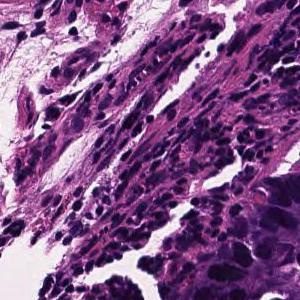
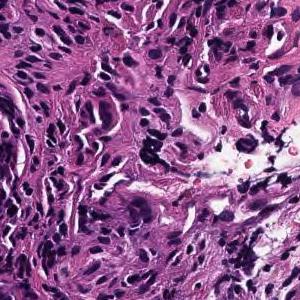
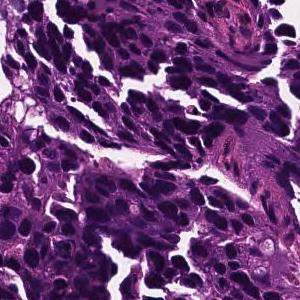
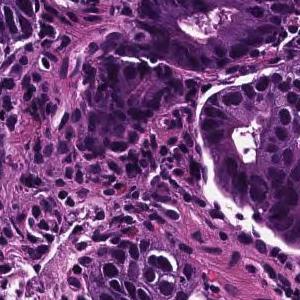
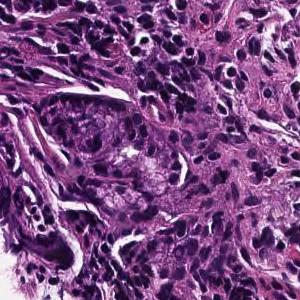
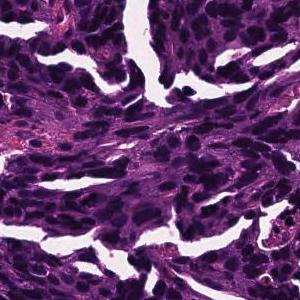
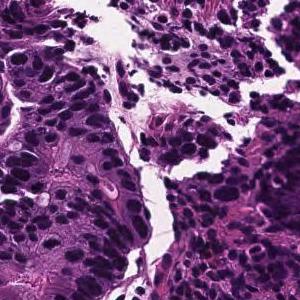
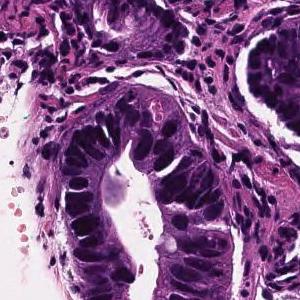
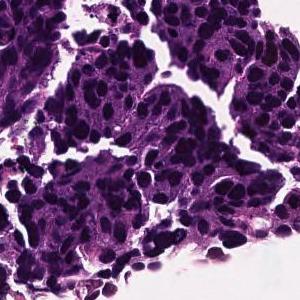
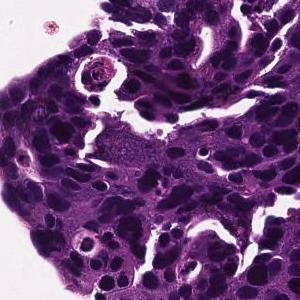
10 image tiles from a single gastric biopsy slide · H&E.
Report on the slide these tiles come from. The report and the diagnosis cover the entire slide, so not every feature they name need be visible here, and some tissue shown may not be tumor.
In the superficial epithelium, medium to small irregular gland ducts are formed, and in some cases, the ducts are fused to show solid alveolar lesions and infiltrating tumor tissue is observed. moderately differentiated tubular adenocarcinoma or poorly differentiated adenocarcinoma, solid-type (poorly differentiated adenocarcinoma, solid type)
Dataset label: poorly differentiated adenocarcinoma, solid type (Japanese Classification of Gastric Carcinoma). The WHO 2019 equivalent is tubular adenocarcinoma, poorly differentiated.
